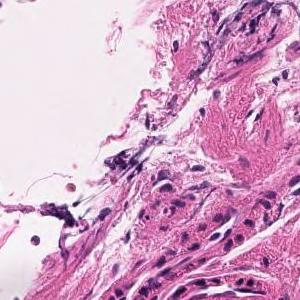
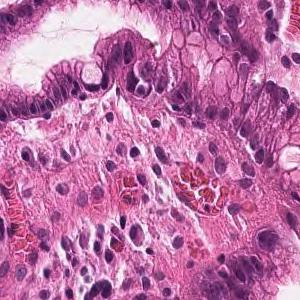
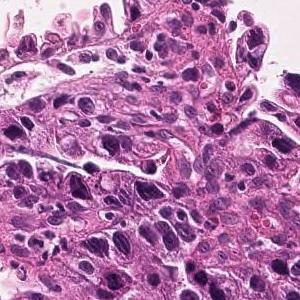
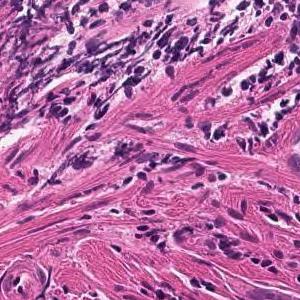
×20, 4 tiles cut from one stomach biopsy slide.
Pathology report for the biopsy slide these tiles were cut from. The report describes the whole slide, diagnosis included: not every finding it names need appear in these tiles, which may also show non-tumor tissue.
Tumor tissue consisting of medium-sized, cord-like or irregular glandular infiltration is observed in the superficial epithelium. Poorly differentiated adenocarcinoma, non-solid type or moderately differentiated tubular adenocarcinoma
Subtype: Moderately to poorly differentiated adenocarcinoma.
The term "non-solid type" comes from the Japanese Classification of Gastric Carcinoma.
